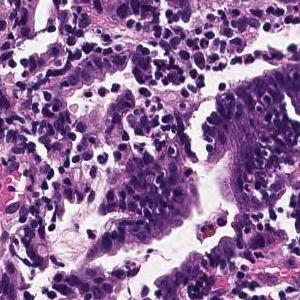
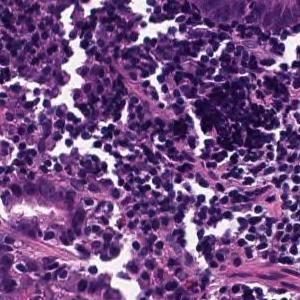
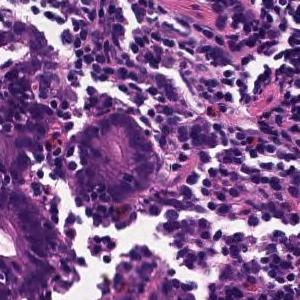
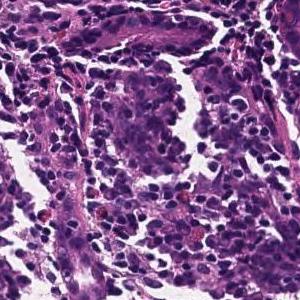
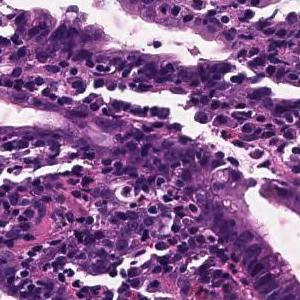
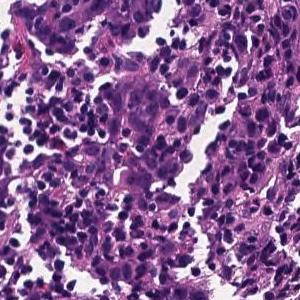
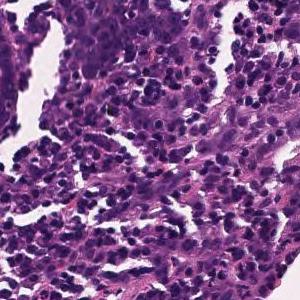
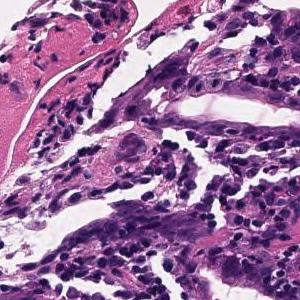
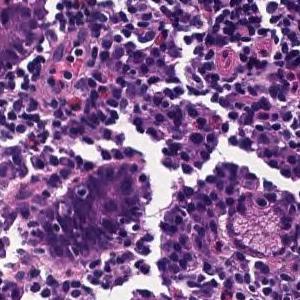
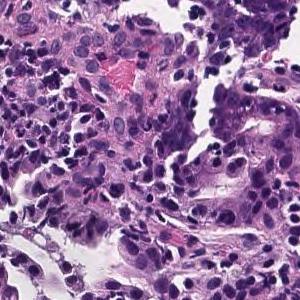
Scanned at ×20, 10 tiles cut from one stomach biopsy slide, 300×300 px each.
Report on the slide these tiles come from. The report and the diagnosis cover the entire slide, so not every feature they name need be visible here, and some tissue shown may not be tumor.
Tumor tissue consisting of medium-sized, cord-like or irregular glandular infiltration is observed in the superficial epithelium. Poorly differentiated adenocarcinoma, non-solid type or moderately differentiated tubular adenocarcinoma
Histological subtype: Moderately to poorly differentiated adenocarcinoma.
The non-solid type named here is a Japanese Classification of Gastric Carcinoma category.
